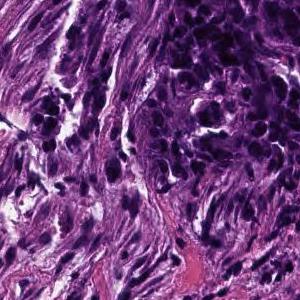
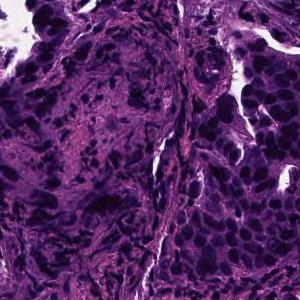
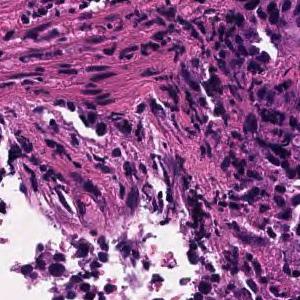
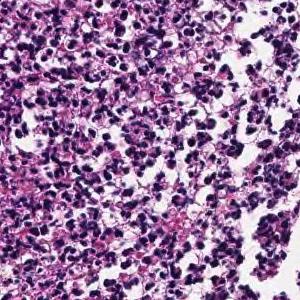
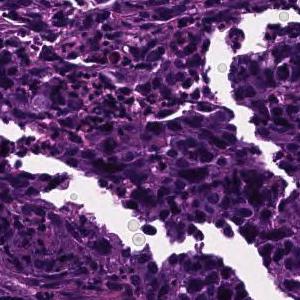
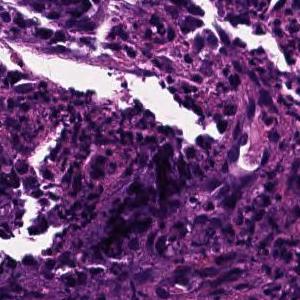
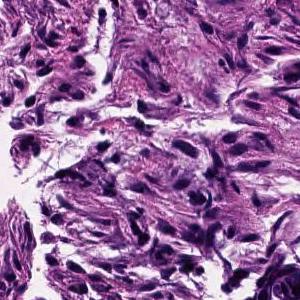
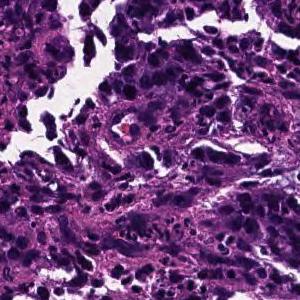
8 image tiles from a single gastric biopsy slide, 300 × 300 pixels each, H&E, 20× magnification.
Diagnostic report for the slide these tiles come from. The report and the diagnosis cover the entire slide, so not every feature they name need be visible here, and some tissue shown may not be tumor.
In the superficial epithelium, tumor tissue that invades by forming medium-sized to small, irregular ducts is observed. moderately differentiated tubular adenocarcinoma.
